20× magnification; 9 tiles cut from one stomach biopsy slide.
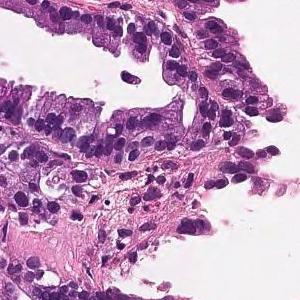
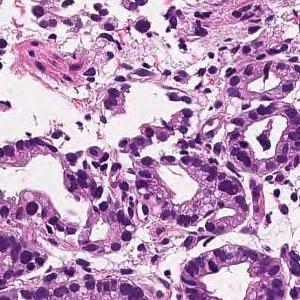
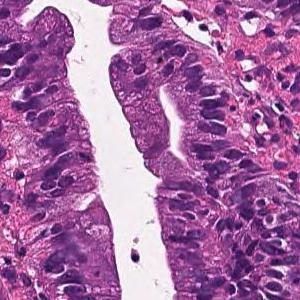
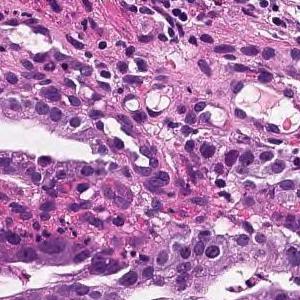
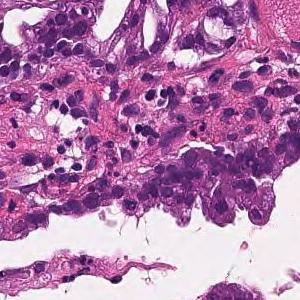
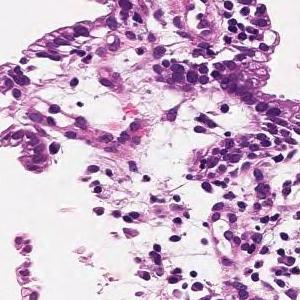
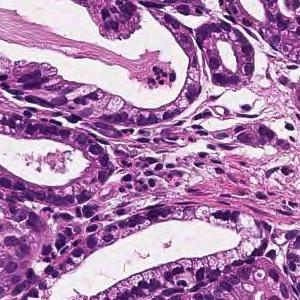
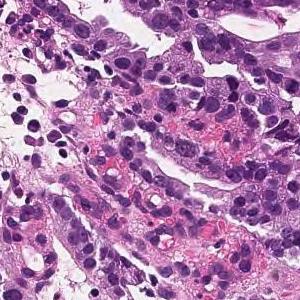
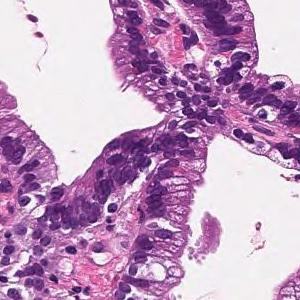
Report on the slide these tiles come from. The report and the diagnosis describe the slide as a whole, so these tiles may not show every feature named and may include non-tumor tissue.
On the superficial epithelium, tumor tissue that infiltrates by forming medium-sized papillary or small irregular ducts is observed. Papillary adenocarcinoma
